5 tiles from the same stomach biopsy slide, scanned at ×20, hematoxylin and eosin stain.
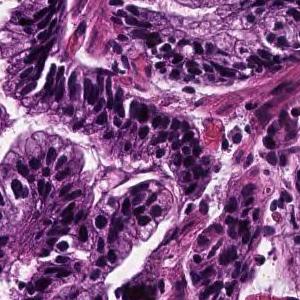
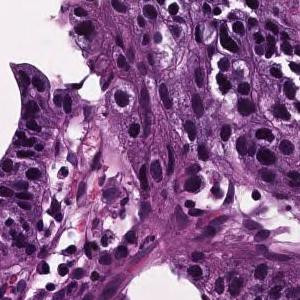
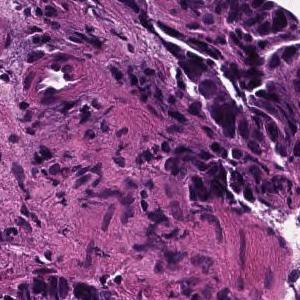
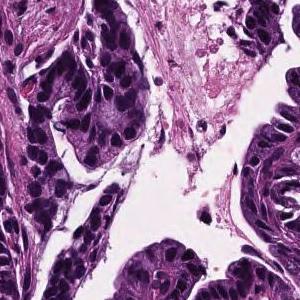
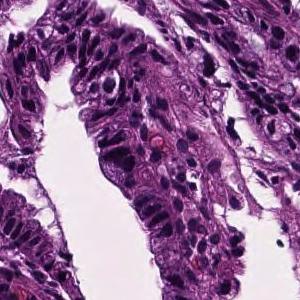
Report on the slide these tiles come from. The report and the diagnosis cover the entire slide, so not every feature they name need be visible here, and some tissue shown may not be tumor.
In the superficial epithelium, tumor tissue that invades by forming medium-sized to small, irregular ducts is observed. Well differentiated tubular adenocarcinoma.
